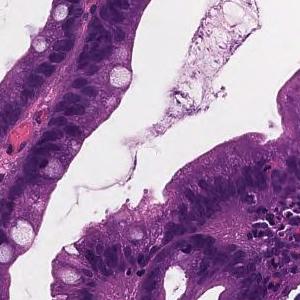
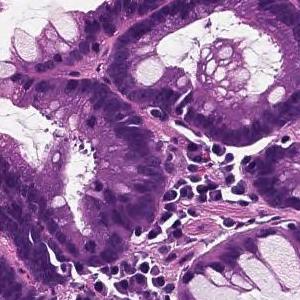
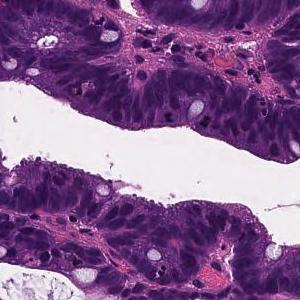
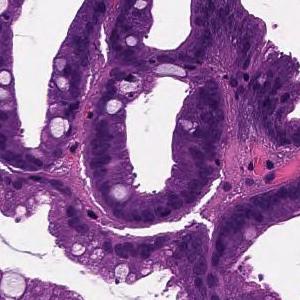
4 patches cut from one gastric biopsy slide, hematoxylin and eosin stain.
Report on the slide these tiles come from. The report and the diagnosis describe the slide as a whole, so these tiles may not show every feature named and may include non-tumor tissue.
moderately differentiated tubular adenocarcinoma infiltrates in the submucosa massively.
Classified as moderately differentiated tubular adenocarcinoma.
